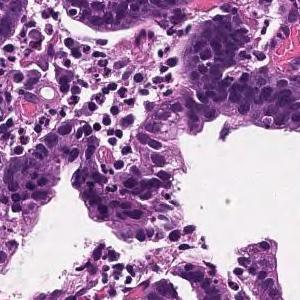
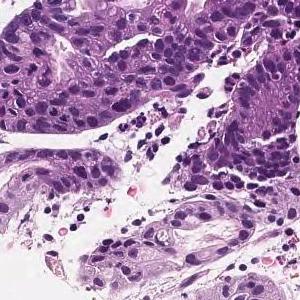
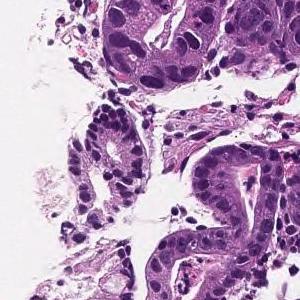
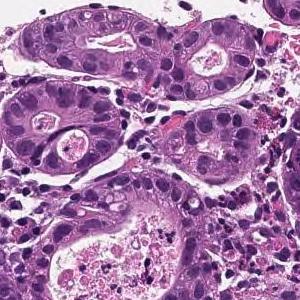
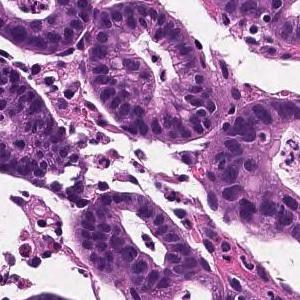
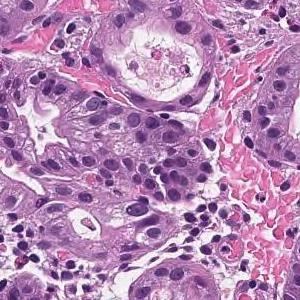
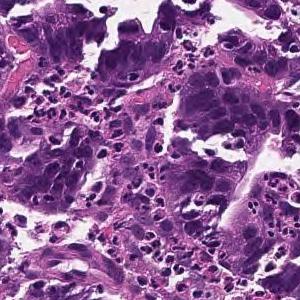
Scanned at ×20; H&E stain; 7 tiles cut from one stomach biopsy slide; each 300 × 300 pixels.
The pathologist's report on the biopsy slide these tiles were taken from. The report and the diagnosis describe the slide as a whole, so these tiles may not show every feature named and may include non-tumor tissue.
On the superficial epithelium, tumor tissue consisting of medium-sized irregular or small round gland ducts showing a small cord-like shape and infiltrating is observed. Well differentiated tubular adenocarcinoma or Poorly differentiated adenocarcinoma, non-solid type
The dataset labels this slide well differentiated tubular adenocarcinoma.
"Non-solid type" is a category of the Japanese Classification of Gastric Carcinoma.
